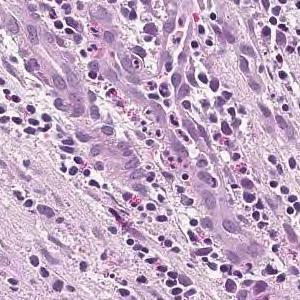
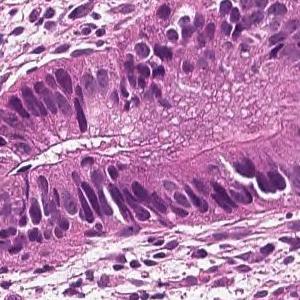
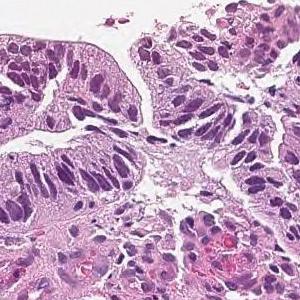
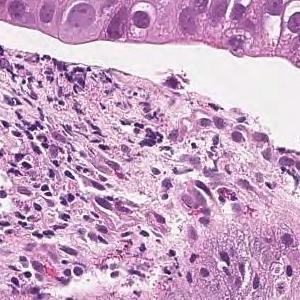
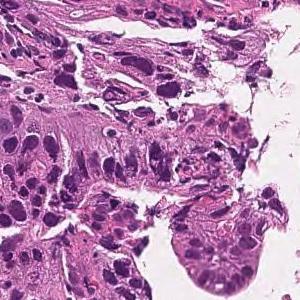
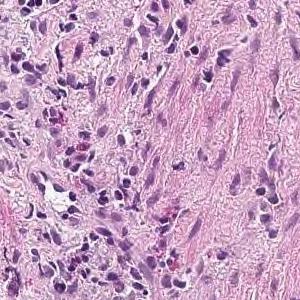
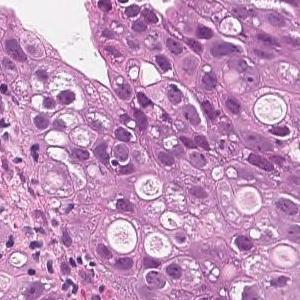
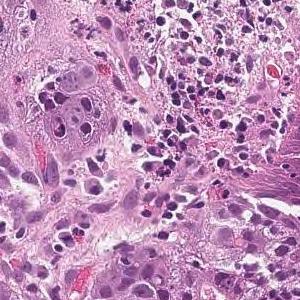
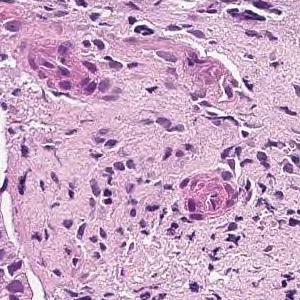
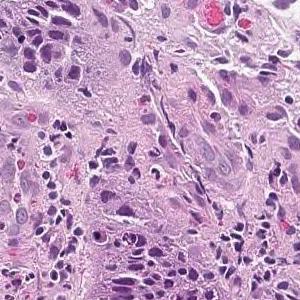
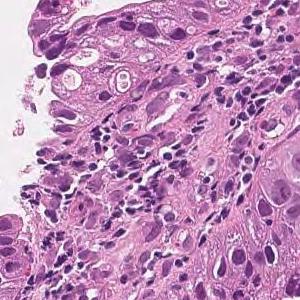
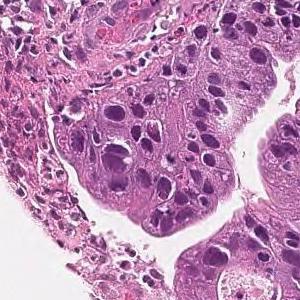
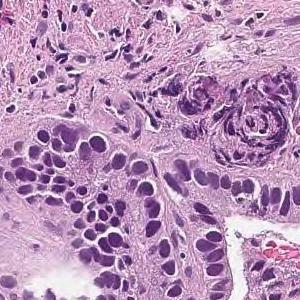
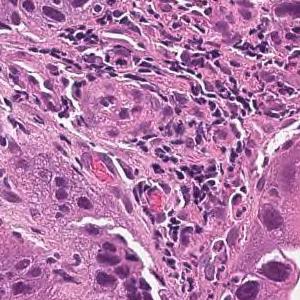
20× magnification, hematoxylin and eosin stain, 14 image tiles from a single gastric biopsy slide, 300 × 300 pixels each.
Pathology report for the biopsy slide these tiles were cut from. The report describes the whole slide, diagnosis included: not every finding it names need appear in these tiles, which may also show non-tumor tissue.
In the superficial epithelium, tumor tissue that invades by forming medium-sized to small, irregular ducts is observed. moderately differentiated tubular adenocarcinoma.
